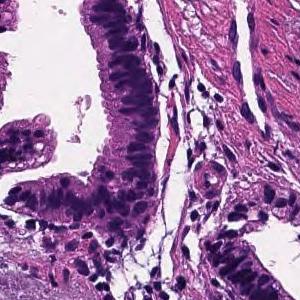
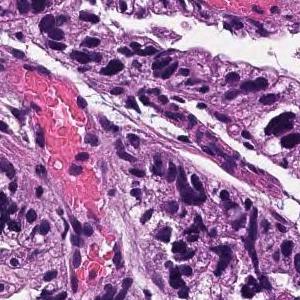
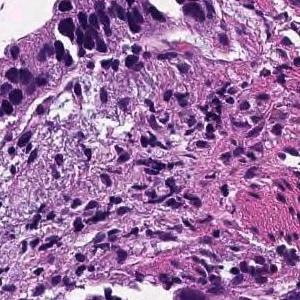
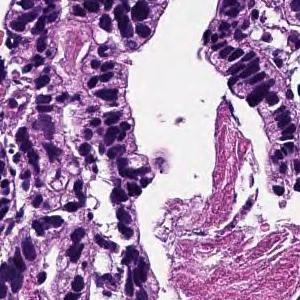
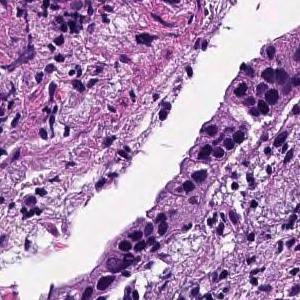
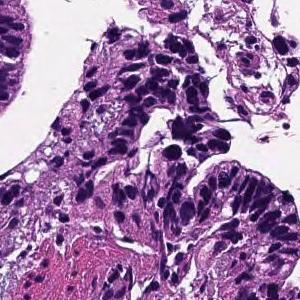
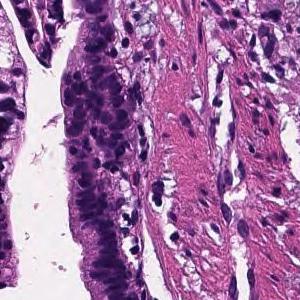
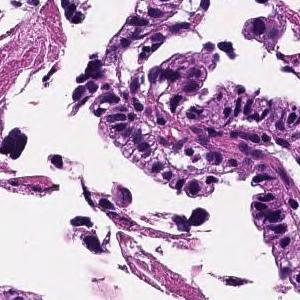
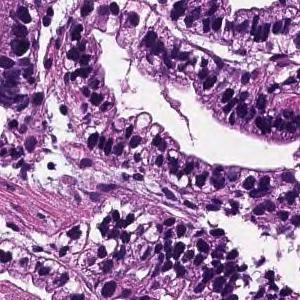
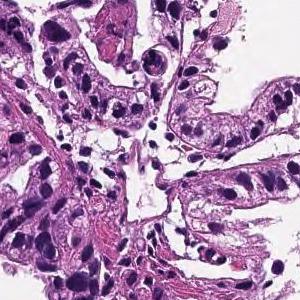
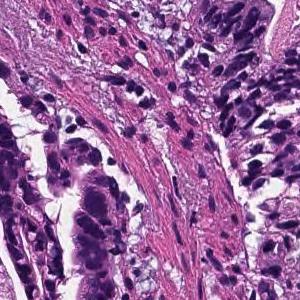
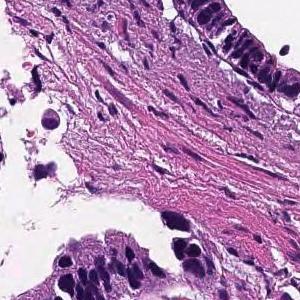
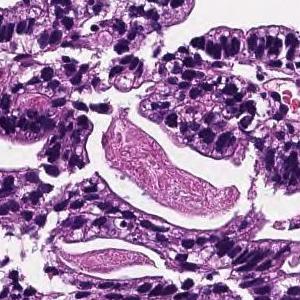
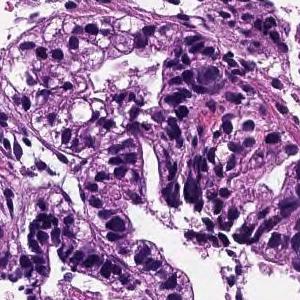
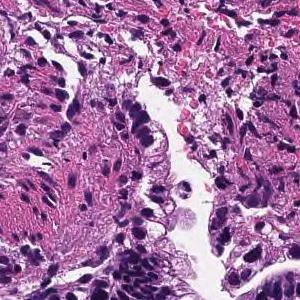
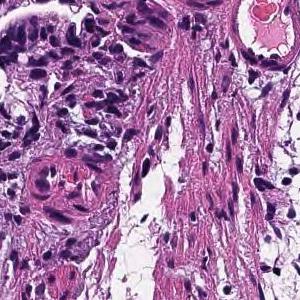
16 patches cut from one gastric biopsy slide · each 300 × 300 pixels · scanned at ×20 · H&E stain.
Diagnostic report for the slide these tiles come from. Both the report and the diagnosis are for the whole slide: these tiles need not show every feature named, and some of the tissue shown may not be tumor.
On the superficial epithelium, tumor tissue that infiltrates by forming medium-sized papillary or small irregular ducts is observed. Papillary adenocarcinoma
